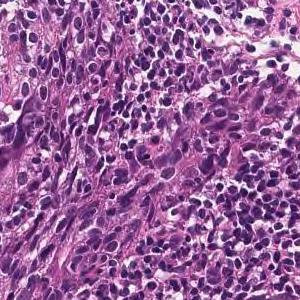
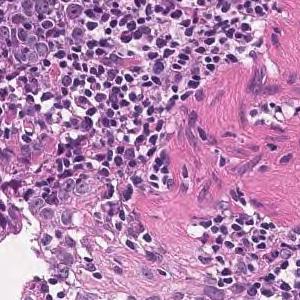
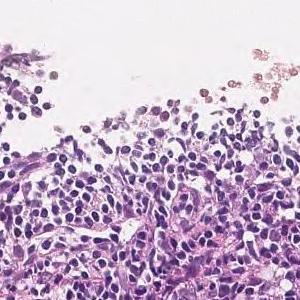
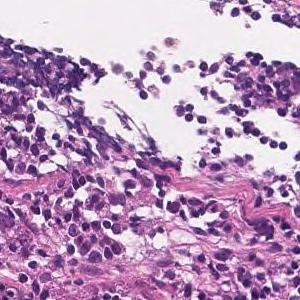
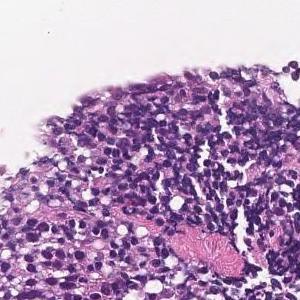
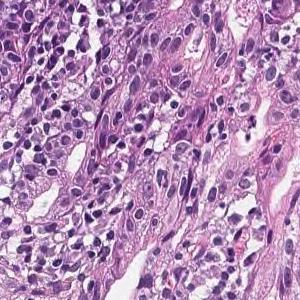
6 patches cut from one gastric biopsy slide.
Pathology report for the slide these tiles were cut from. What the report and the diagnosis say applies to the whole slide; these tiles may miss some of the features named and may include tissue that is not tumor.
Tumor tissue consisting of cord-like or small, irregular glandular ducts fused and infiltrated is observed in the superficial epithelium. Poorly differentiated adenocarcinoma, non-solid type
"Non-solid type" is a category of the Japanese Classification of Gastric Carcinoma.
